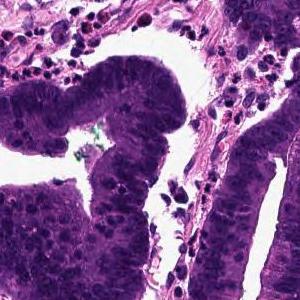
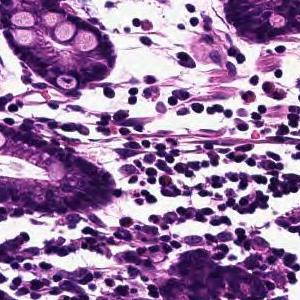
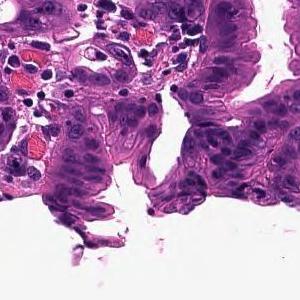
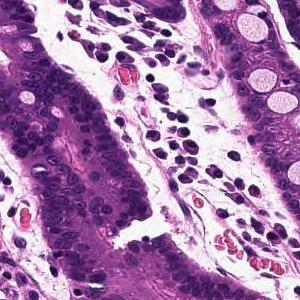
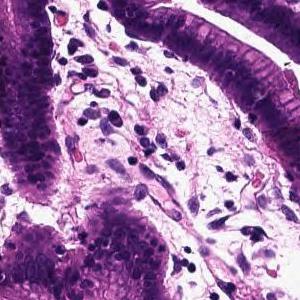
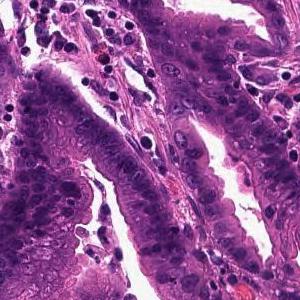
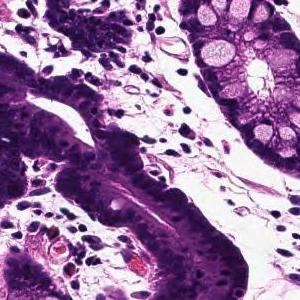
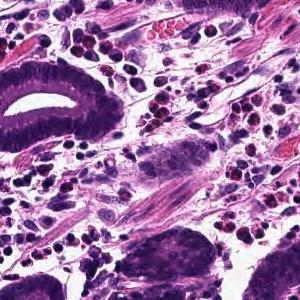
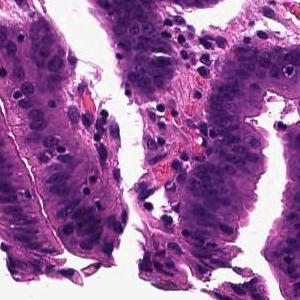
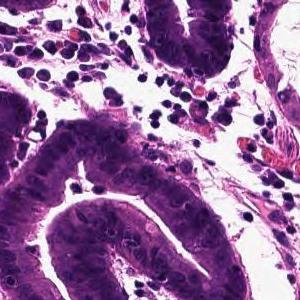
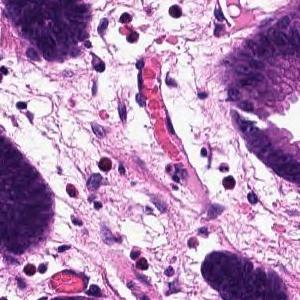
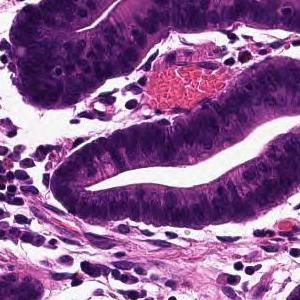
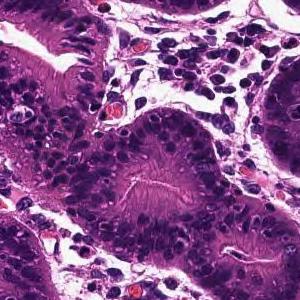
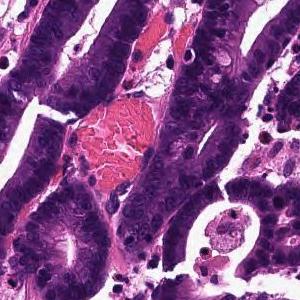
14 tiles from the same stomach biopsy slide, 300 × 300 pixels each, H&E stain, ×20.
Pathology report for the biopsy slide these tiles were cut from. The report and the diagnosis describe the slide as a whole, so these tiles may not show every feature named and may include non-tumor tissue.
Tumor tissue that infiltrates by forming large papillary or large irregular glandular ducts is observed confined to the mucosa. Papillary adenocarcinoma
